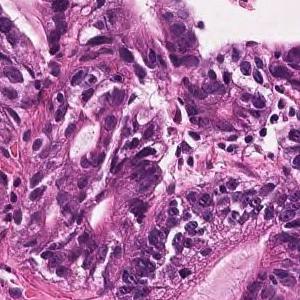
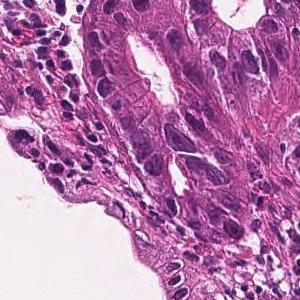
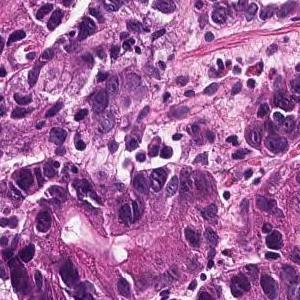
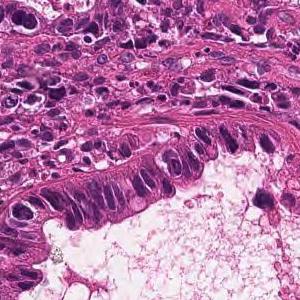
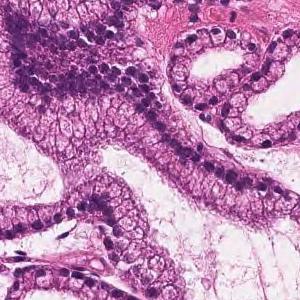
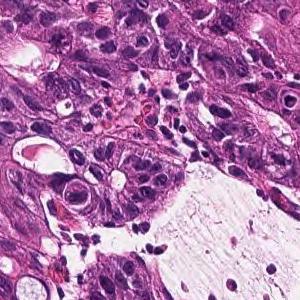
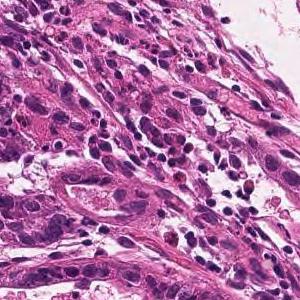
20× magnification, H&E stain, 7 tiles cut from one stomach biopsy slide, 300×300 px each.
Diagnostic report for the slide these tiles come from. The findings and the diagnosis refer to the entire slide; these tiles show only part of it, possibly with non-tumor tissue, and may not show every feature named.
In the superficial epithelium, tumor tissue that invades by forming medium-sized to small, irregular ducts is observed. moderately differentiated tubular adenocarcinoma.
